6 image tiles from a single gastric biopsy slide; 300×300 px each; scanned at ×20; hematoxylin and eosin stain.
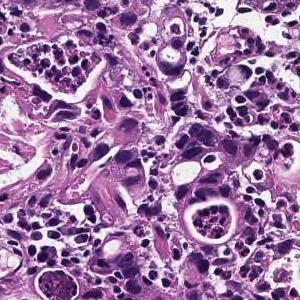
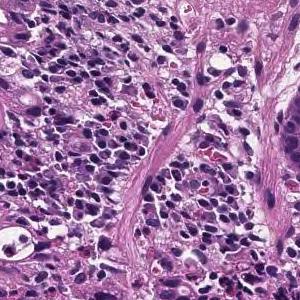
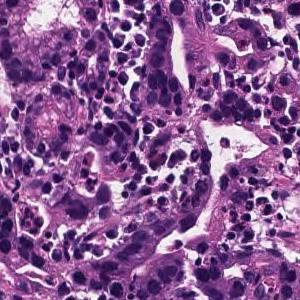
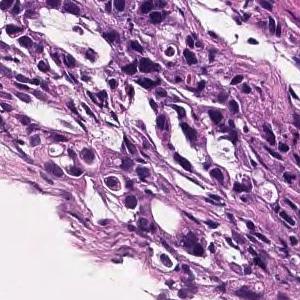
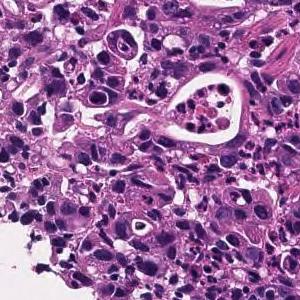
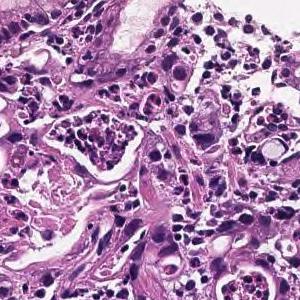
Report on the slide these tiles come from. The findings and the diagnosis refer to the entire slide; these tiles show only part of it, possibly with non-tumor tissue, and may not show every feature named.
In the superficial epithelium, tumor tissue that invades by forming medium-sized to small, irregular ducts is observed. moderately differentiated tubular adenocarcinoma.
